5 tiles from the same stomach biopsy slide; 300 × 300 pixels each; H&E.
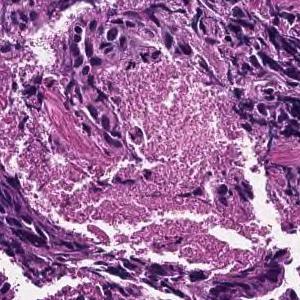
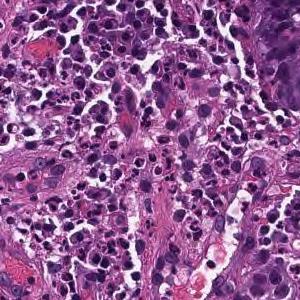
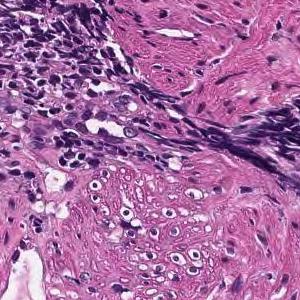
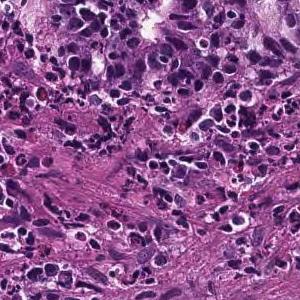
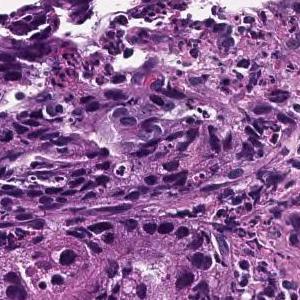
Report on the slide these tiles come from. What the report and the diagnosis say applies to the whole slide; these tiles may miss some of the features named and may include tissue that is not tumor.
On the superficial epithelium, tumor tissue consisting of large, irregular glandular ducts partially fused and infiltrated is observed. Well to moderately differentiated tubular adenocarcinoma (well differentiated tubular adenocarcinoma, moderately differentiated tubular adenocarcinoma)
Subtype: Well to moderately differentiated tubular adenocarcinoma.
